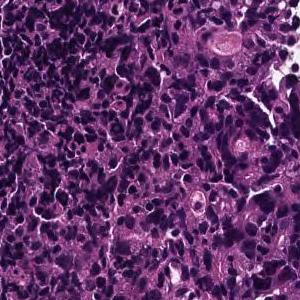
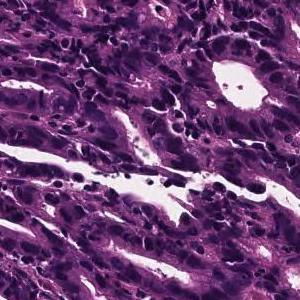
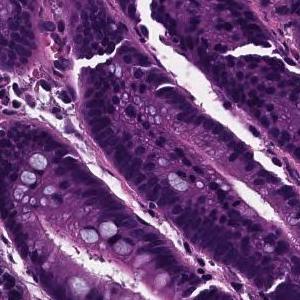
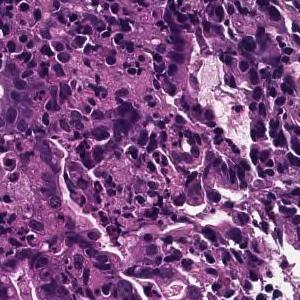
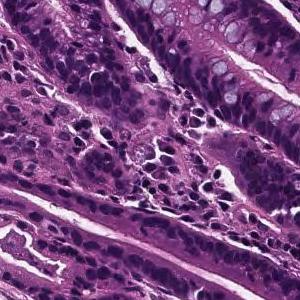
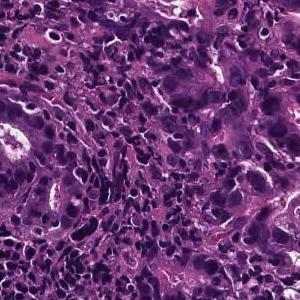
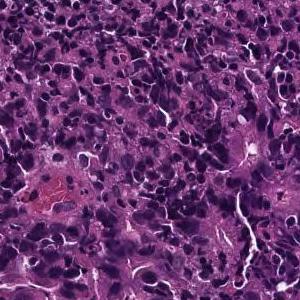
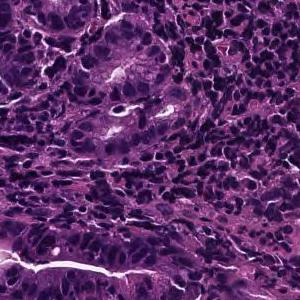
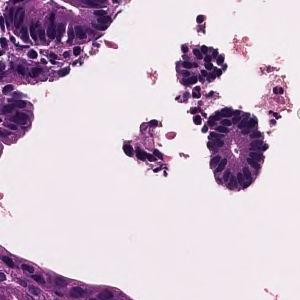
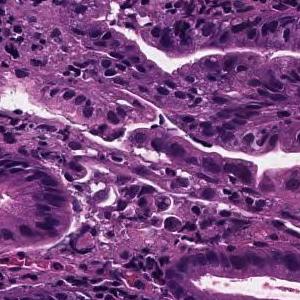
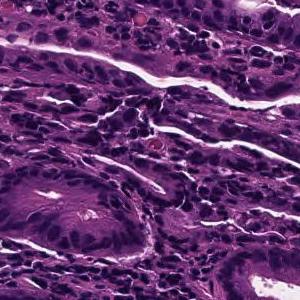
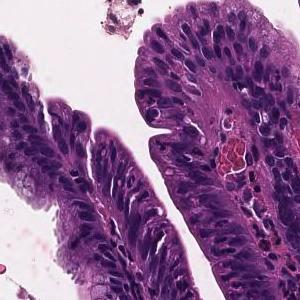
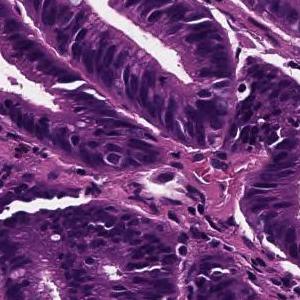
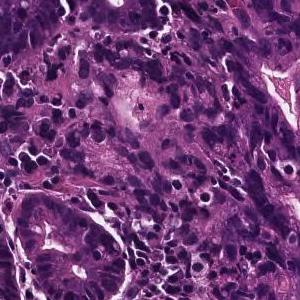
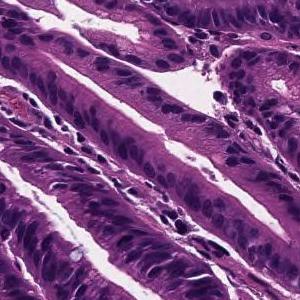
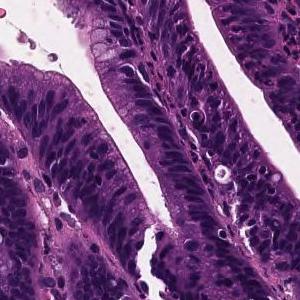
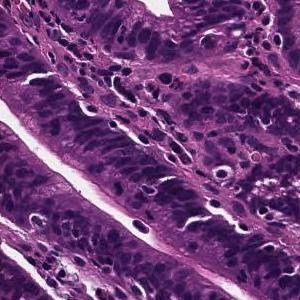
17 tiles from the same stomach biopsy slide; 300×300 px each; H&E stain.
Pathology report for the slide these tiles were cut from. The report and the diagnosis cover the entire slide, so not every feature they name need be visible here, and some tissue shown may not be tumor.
On the superficial epithelium, tumor tissue consisting of medium-sized irregular glandular ducts partially fused and infiltrated is observed. Well to moderately differentiated tubular adenocarcinoma (well differentiated tubular adenocarcinoma-moderately differentiated tubular adenocarcinoma)
Histologic type: Well to moderately differentiated tubular adenocarcinoma.
